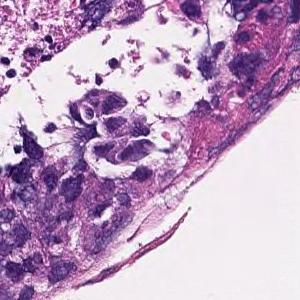
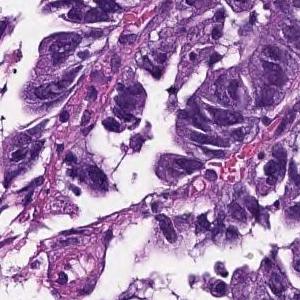
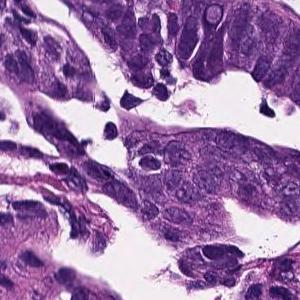
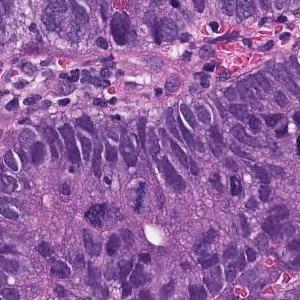
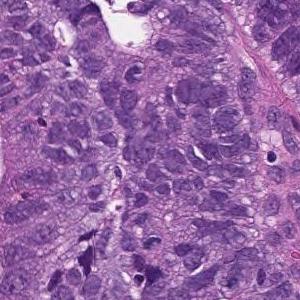
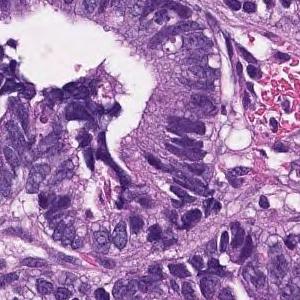
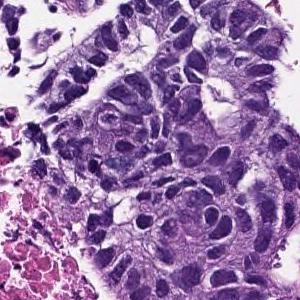
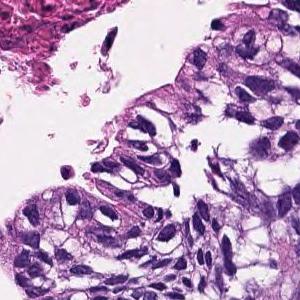
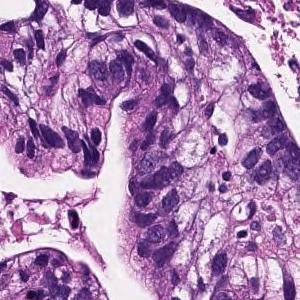
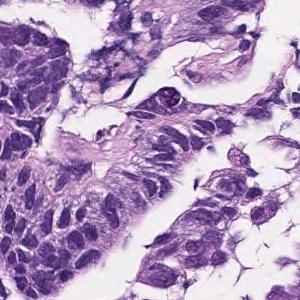
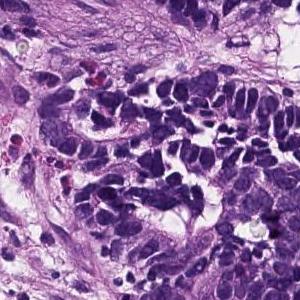
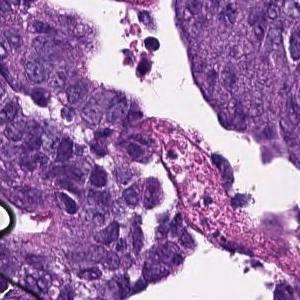
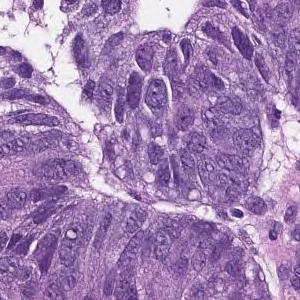
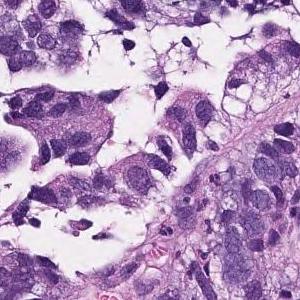
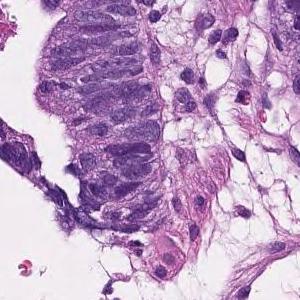
Hematoxylin and eosin stain; 15 image tiles from a single gastric biopsy slide; 300×300 px each.
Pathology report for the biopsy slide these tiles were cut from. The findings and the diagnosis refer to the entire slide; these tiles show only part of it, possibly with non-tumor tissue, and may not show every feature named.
In the superficial epithelium, tumor tissue that invades by forming medium-sized to small, irregular ducts is observed. moderately differentiated tubular adenocarcinoma.
